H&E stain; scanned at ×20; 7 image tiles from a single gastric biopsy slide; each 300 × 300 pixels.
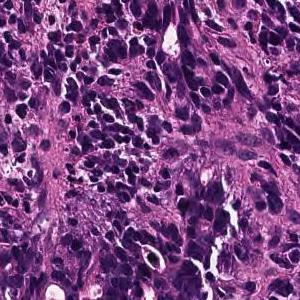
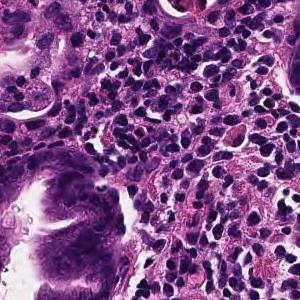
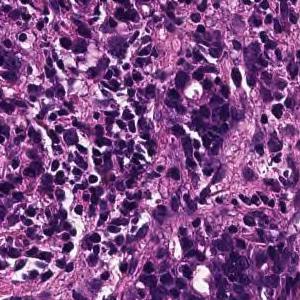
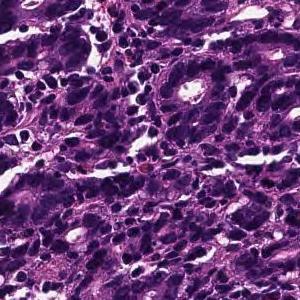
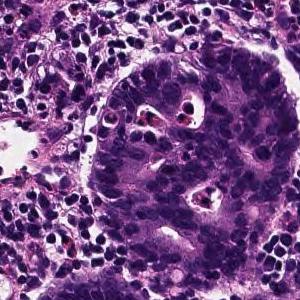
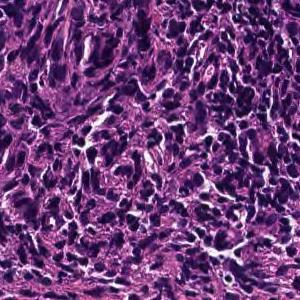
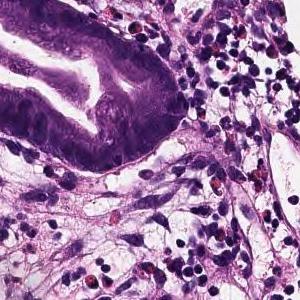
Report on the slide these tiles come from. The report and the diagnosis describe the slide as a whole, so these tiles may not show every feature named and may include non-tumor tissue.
On the superficial epithelium, tumor tissue is found in which medium-sized irregular gland ducts fuse with each other and infiltrate. moderately differentiated tubular adenocarcinoma or Poorly differentiated adenocarcinoma, non-solid type
Classified as moderately to poorly differentiated adenocarcinoma.
The non-solid type named here is a Japanese Classification of Gastric Carcinoma category.
